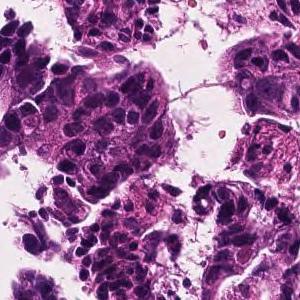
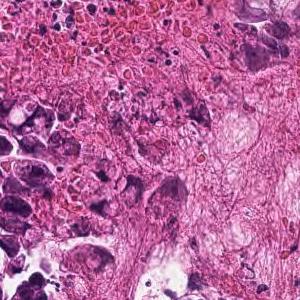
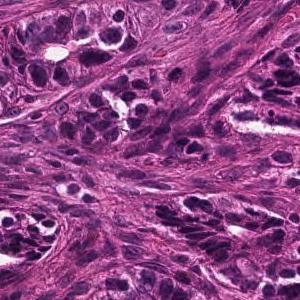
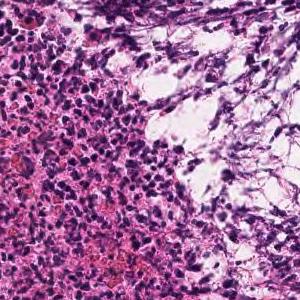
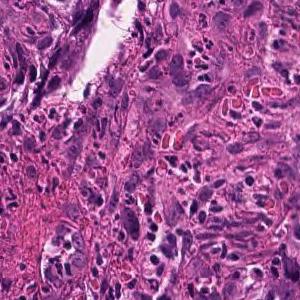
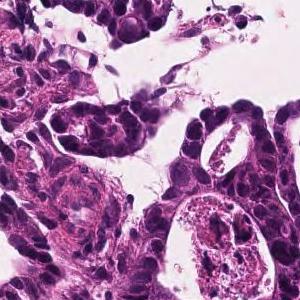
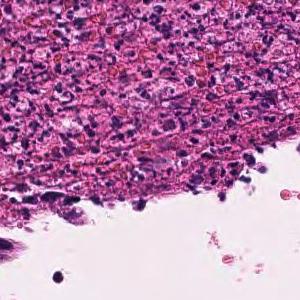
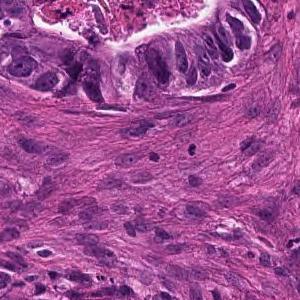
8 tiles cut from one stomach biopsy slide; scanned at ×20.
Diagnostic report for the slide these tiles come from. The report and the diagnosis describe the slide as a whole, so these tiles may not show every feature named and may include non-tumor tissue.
In the superficial epithelium, tumor tissue that invades by forming medium-sized to small, irregular ducts is observed. moderately differentiated tubular adenocarcinoma.
